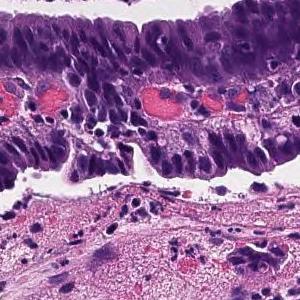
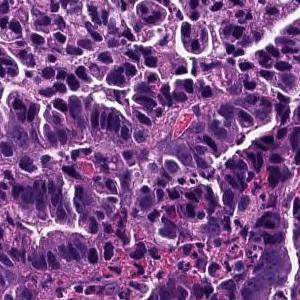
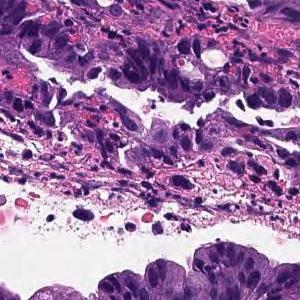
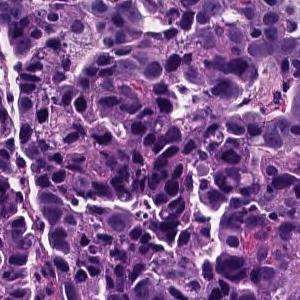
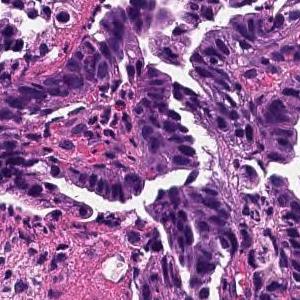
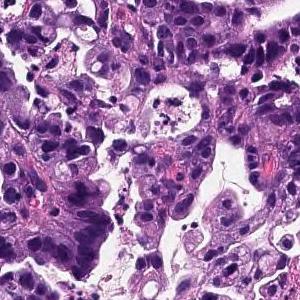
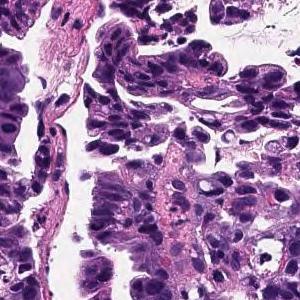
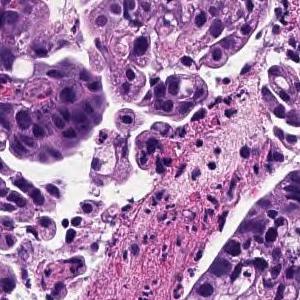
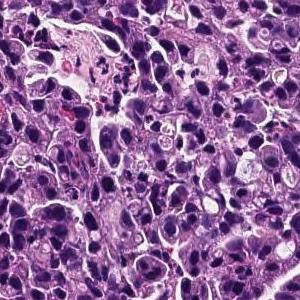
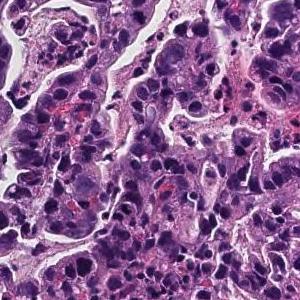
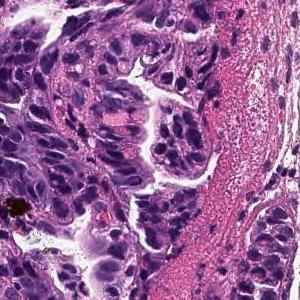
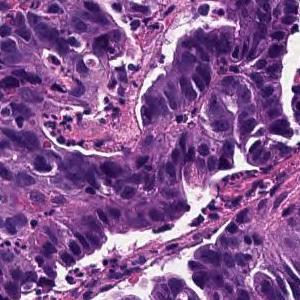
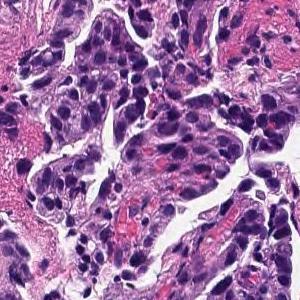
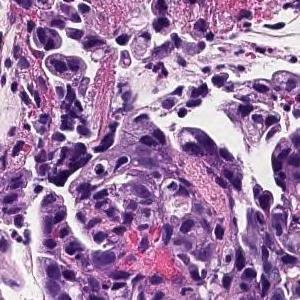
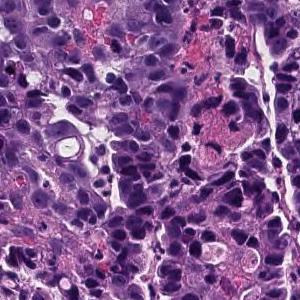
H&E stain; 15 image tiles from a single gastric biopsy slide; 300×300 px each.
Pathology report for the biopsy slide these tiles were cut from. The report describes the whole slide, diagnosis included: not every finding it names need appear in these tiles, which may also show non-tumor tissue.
Infiltrating tumor tissue is observed in the superficial epithelium, showing large papillary structures or large and small ducts. Papillary adenocarcinoma
